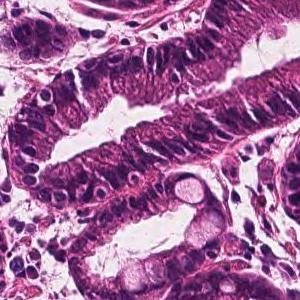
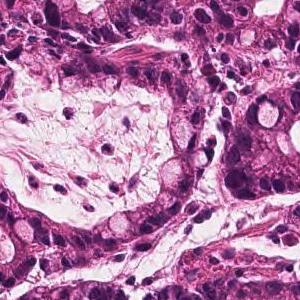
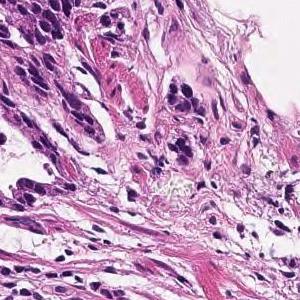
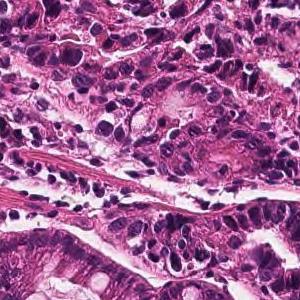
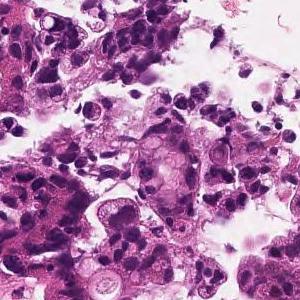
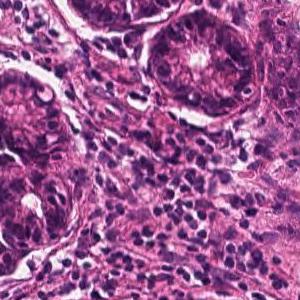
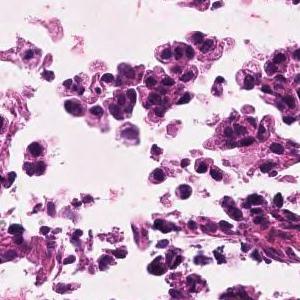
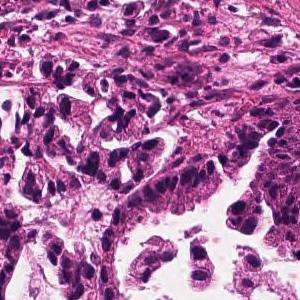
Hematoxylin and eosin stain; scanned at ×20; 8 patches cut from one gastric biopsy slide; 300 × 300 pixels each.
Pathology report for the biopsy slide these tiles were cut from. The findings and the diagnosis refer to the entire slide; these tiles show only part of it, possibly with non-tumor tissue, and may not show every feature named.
In the superficial epithelium, tumor tissue that invades by forming medium-sized to small, irregular ducts is observed. moderately differentiated tubular adenocarcinoma.
